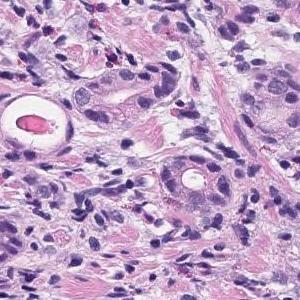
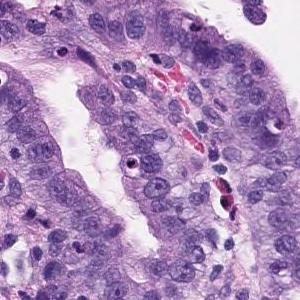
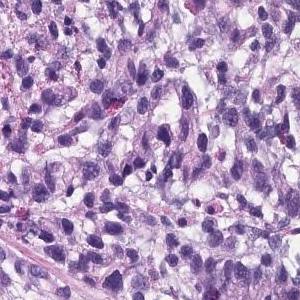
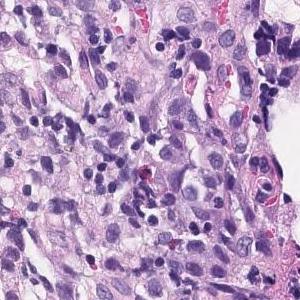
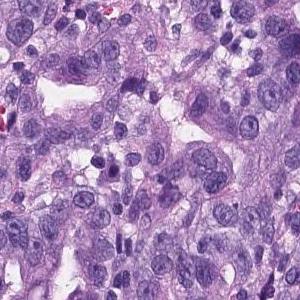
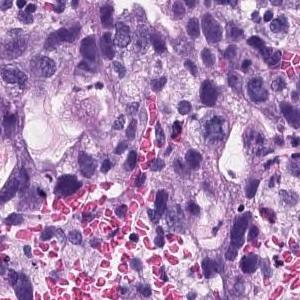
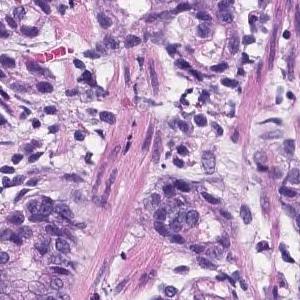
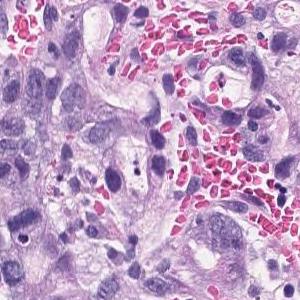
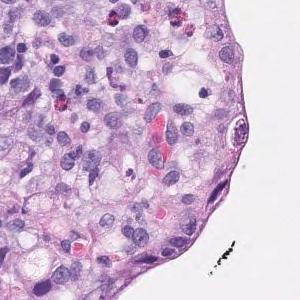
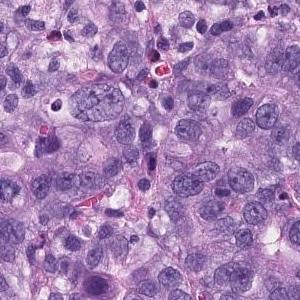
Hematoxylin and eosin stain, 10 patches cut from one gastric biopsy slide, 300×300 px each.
Diagnostic report for the slide these tiles come from. The report and the diagnosis cover the entire slide, so not every feature they name need be visible here, and some tissue shown may not be tumor.
There are atypical l cells with atypical nuclei forming cord-like or irregular atypical ducts from solidity and proliferating in a comprehensive manner. Poorly differentiated adenocarcinoma, Moderately differentiated adenocarcinoma (poorly differentiated adenocarcinoma, solid type moderately differentiated tubular adenocarcinoma)
Classified as moderately to poorly differentiated adenocarcinoma.
The solid type named here is a Japanese Classification of Gastric Carcinoma category; WHO 2019 calls it tubular adenocarcinoma, poorly differentiated.
